9 patches cut from one gastric biopsy slide, hematoxylin and eosin stain, ×20.
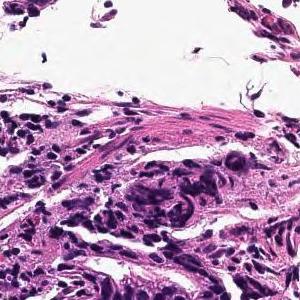
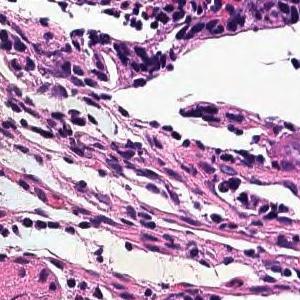
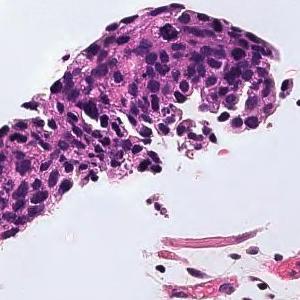
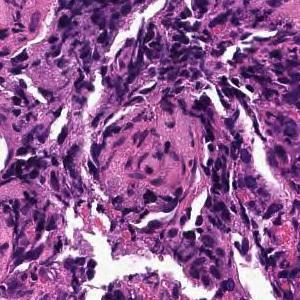
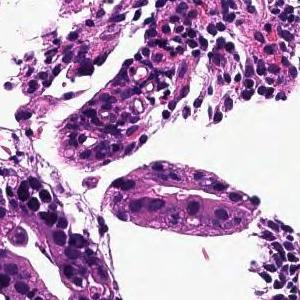
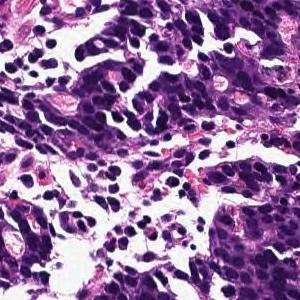
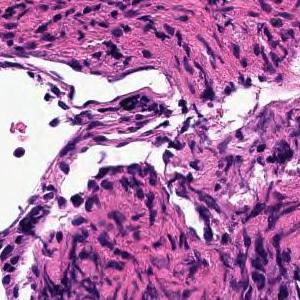
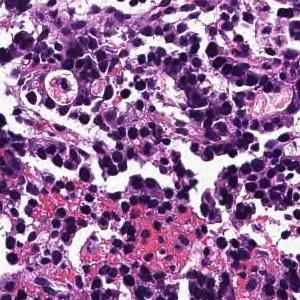
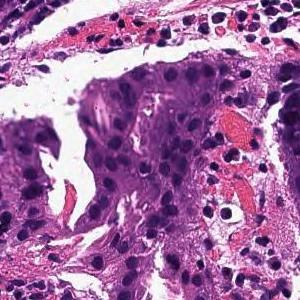
The pathologist's report on the biopsy slide these tiles were taken from. The report and the diagnosis describe the slide as a whole, so these tiles may not show every feature named and may include non-tumor tissue.
In the superficial epithelium, tumor tissue that invades by forming medium-sized to small, irregular ducts is observed. moderately differentiated tubular adenocarcinoma.
